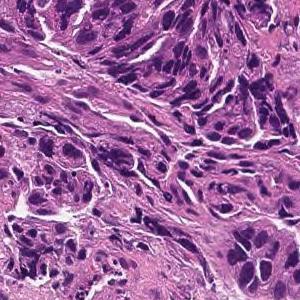
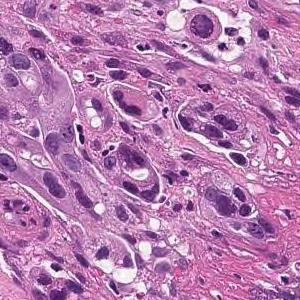
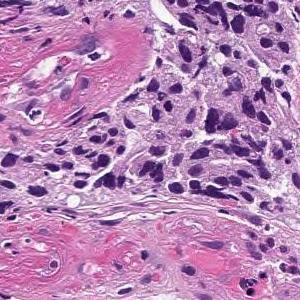
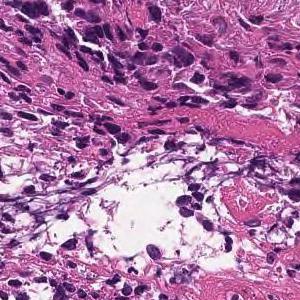
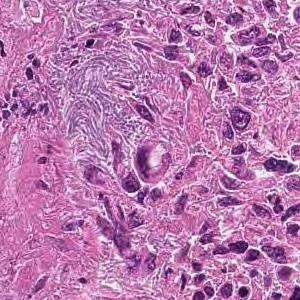
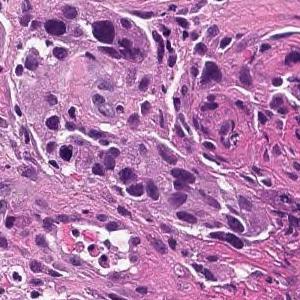
6 patches cut from one gastric biopsy slide · hematoxylin and eosin stain · ×20.
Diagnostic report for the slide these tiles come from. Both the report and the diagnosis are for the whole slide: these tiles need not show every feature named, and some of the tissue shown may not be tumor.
Tumor tissue consisting of cord-like or small, irregular glandular ducts fused and infiltrated is observed in the superficial epithelium. Poorly differentiated adenocarcinoma, non-solid type
"Non-solid type" is a category of the Japanese Classification of Gastric Carcinoma.
